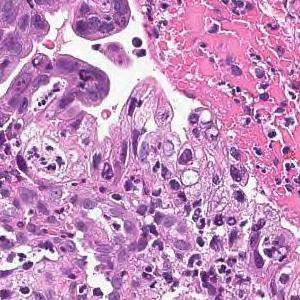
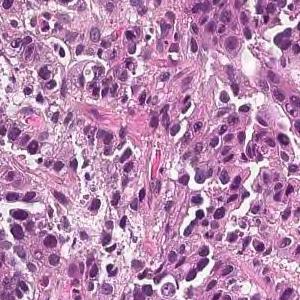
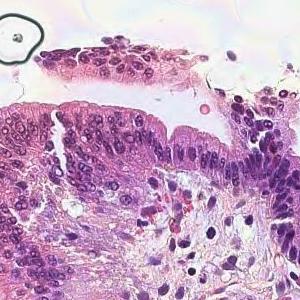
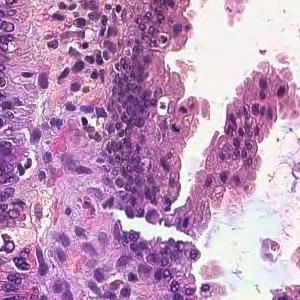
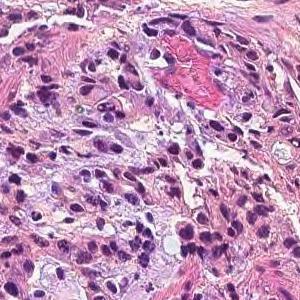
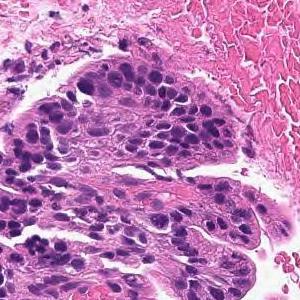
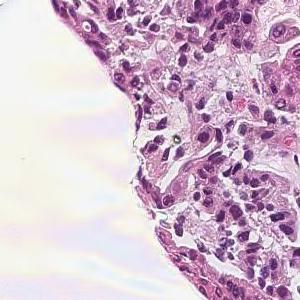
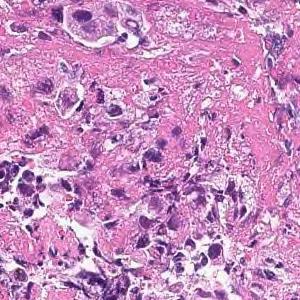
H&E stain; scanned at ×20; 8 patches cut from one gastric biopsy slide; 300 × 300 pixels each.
Diagnostic report for the slide these tiles come from. What the report and the diagnosis say applies to the whole slide; these tiles may miss some of the features named and may include tissue that is not tumor.
Tumor tissue consisting of medium-sized, cord-like or irregular glandular infiltration is observed in the superficial epithelium. Poorly differentiated adenocarcinoma, non-solid type or moderately differentiated tubular adenocarcinoma
Histological subtype: Moderately to poorly differentiated adenocarcinoma.
The non-solid type named here is a Japanese Classification of Gastric Carcinoma category.
